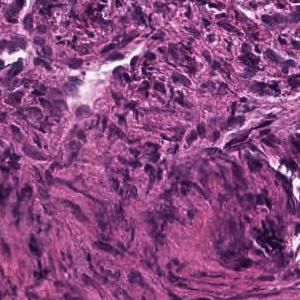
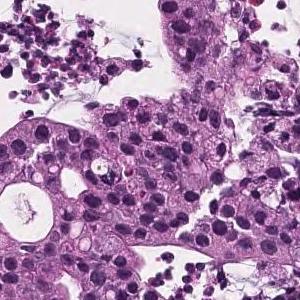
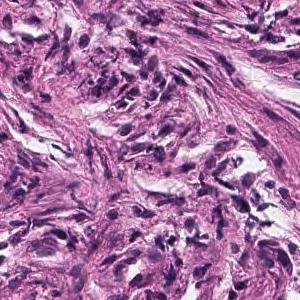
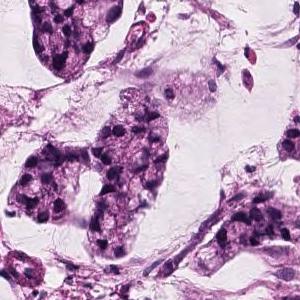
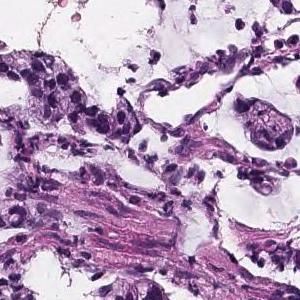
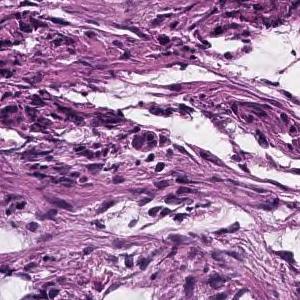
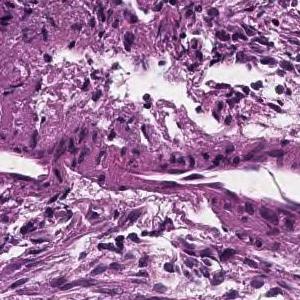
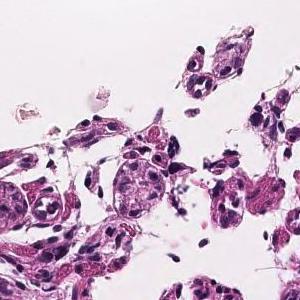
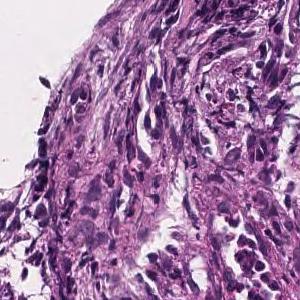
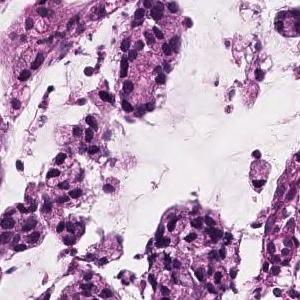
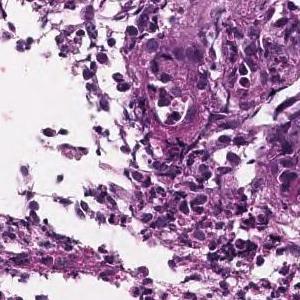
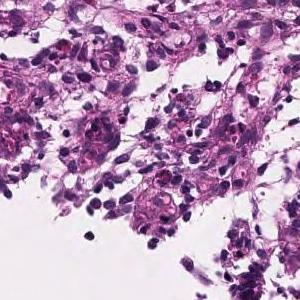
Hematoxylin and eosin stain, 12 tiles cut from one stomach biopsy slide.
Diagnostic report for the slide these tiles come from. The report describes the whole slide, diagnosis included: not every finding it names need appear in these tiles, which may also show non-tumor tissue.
Atypical epithelial cells form obscure ductal structures or small solid follicles, and tumor tissue that proliferates invasively with proliferation of inflammatory granulation tissue is observed. Mucinous adenocarcinoma .
